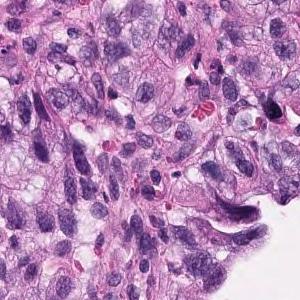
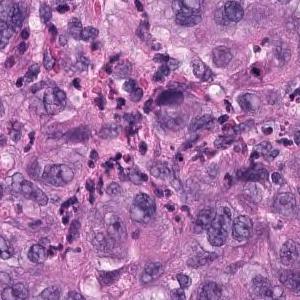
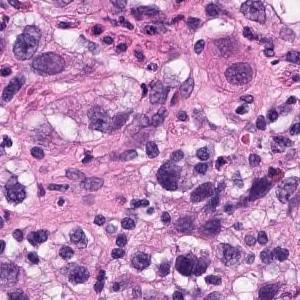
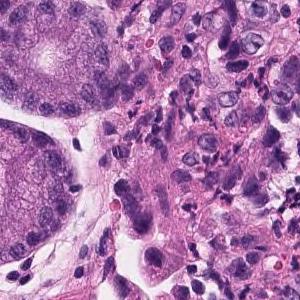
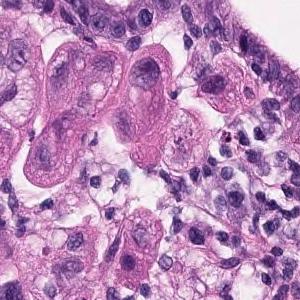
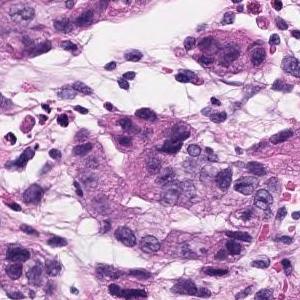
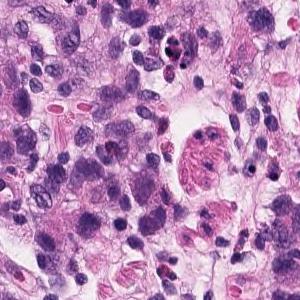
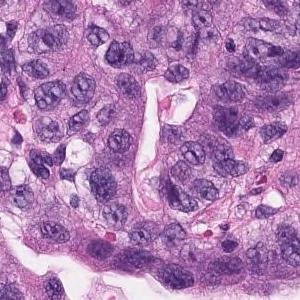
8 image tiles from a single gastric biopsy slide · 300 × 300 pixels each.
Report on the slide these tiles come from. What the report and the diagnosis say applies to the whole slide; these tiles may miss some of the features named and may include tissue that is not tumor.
Atypical l cells with atypical nuclei forming diffuse or small irregular atypical ducts and growing. Moderately to poorly differentiated adenocarcinoma (poorly differentiated adenocarcinoma, solid type, moderately differentiated tubular adenocarcinoma)
Histological subtype: Moderately to poorly differentiated adenocarcinoma.
"Solid type" is a category of the Japanese Classification of Gastric Carcinoma; in the WHO 2019 classification it is tubular adenocarcinoma, poorly differentiated.
